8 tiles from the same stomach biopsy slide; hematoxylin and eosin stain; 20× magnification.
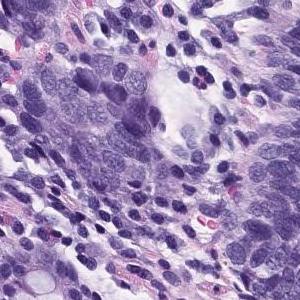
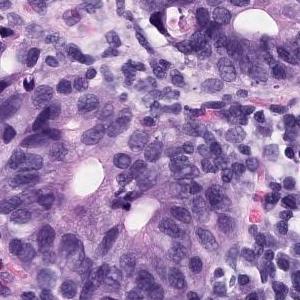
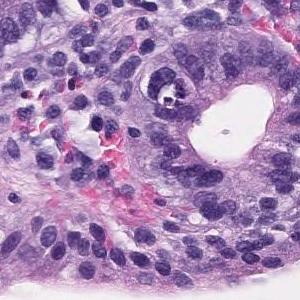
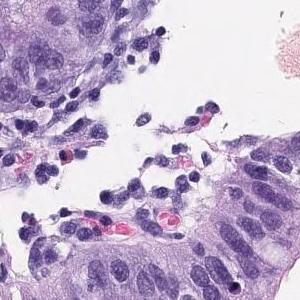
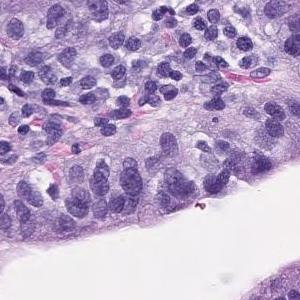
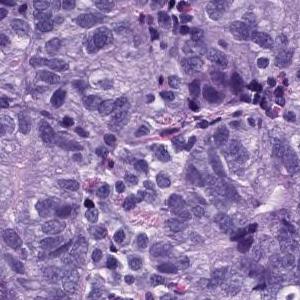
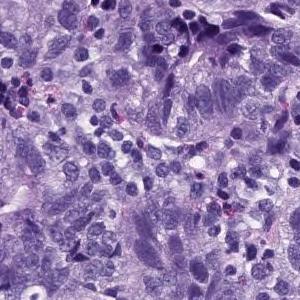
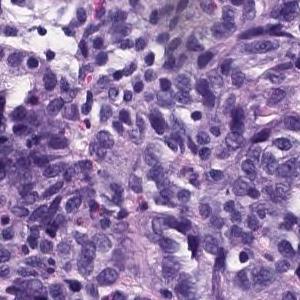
Pathology report for the biopsy slide these tiles were cut from. The report and the diagnosis describe the slide as a whole, so these tiles may not show every feature named and may include non-tumor tissue.
In the superficial epithelium, tumor tissue that invades by forming medium-sized to small, irregular ducts is observed. Moderately differentiated adenocarcinoma.
Subtype: Moderately differentiated tubular adenocarcinoma.
